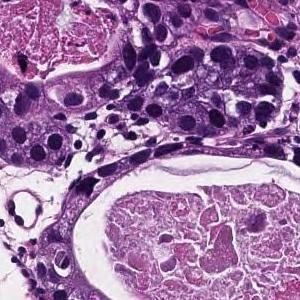
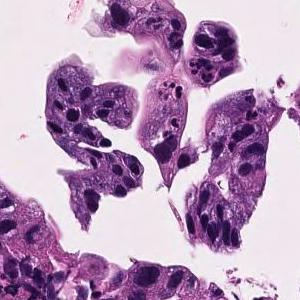
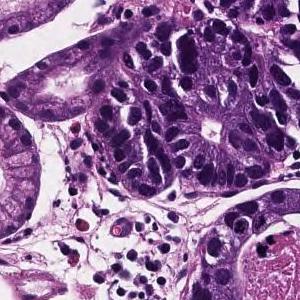
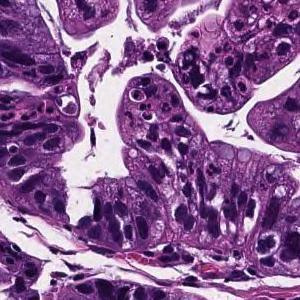
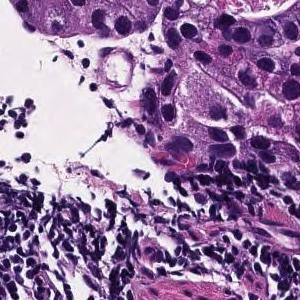
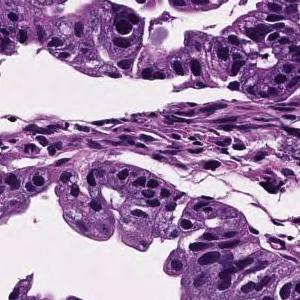
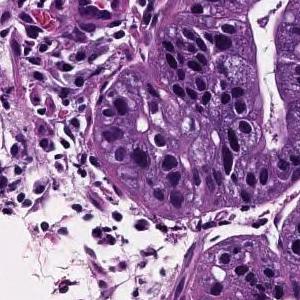
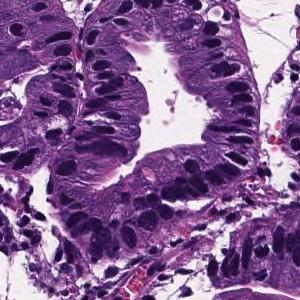
8 image tiles from a single gastric biopsy slide; each 300 × 300 pixels; hematoxylin and eosin stain; 20× magnification.
Report on the slide these tiles come from. What the report and the diagnosis say applies to the whole slide; these tiles may miss some of the features named and may include tissue that is not tumor.
In the superficial epithelium, tumor tissue that invades by forming medium-sized to small, irregular ducts is observed. Well differentiated tubular adenocarcinoma.
